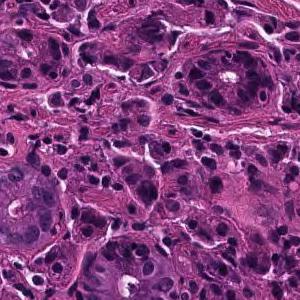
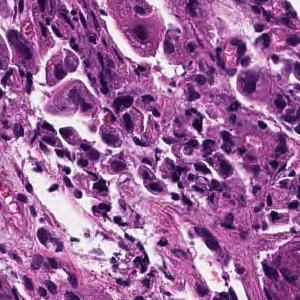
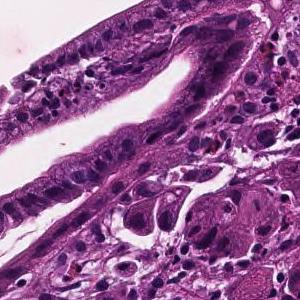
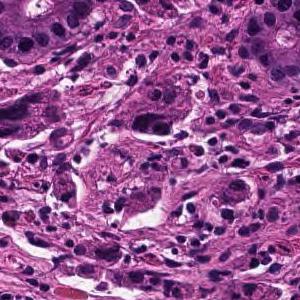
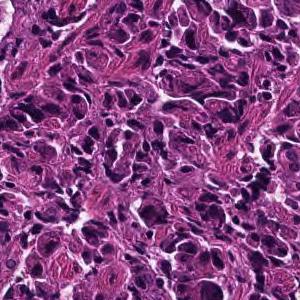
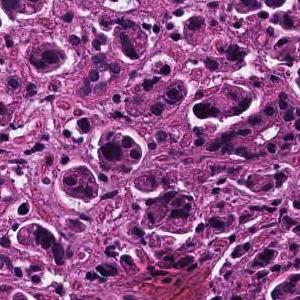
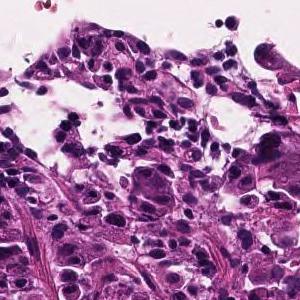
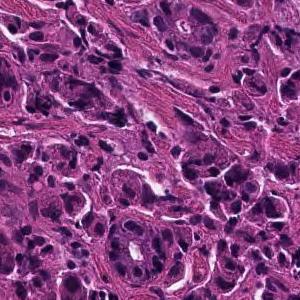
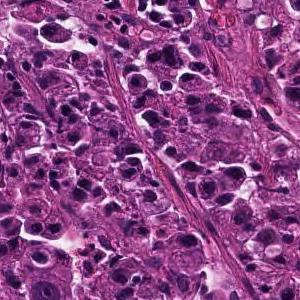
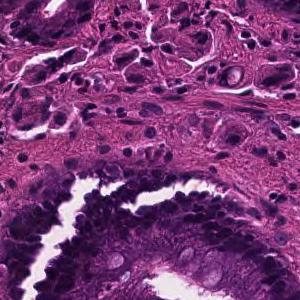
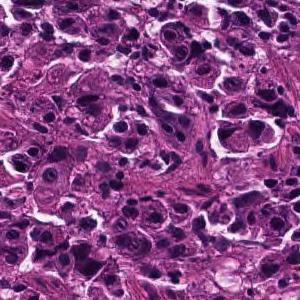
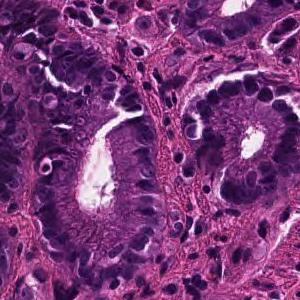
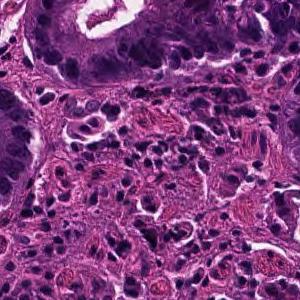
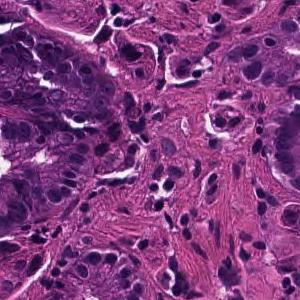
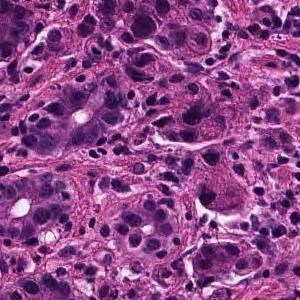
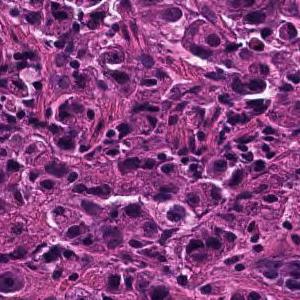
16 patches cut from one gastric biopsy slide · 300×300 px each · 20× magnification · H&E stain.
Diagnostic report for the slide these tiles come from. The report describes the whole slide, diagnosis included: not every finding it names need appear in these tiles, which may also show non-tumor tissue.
Tumor tissue consisting of cord-like or small, irregular glandular ducts fused and infiltrated is observed in the superficial epithelium. Poorly differentiated adenocarcinoma, non-solid type
The non-solid type named here is a Japanese Classification of Gastric Carcinoma category.
